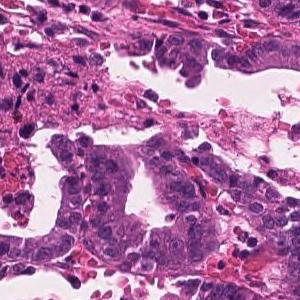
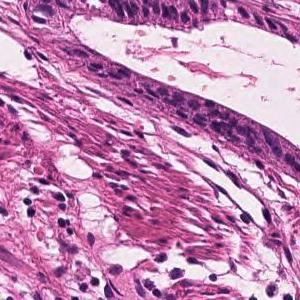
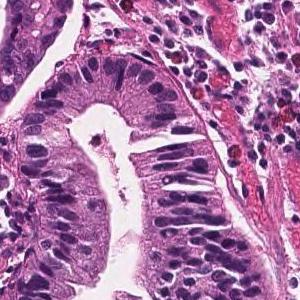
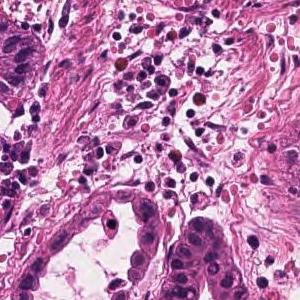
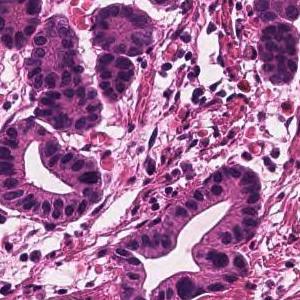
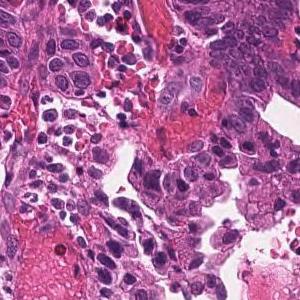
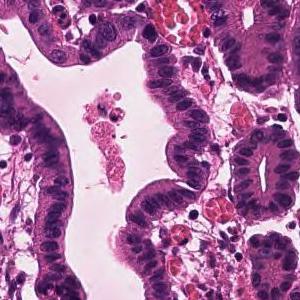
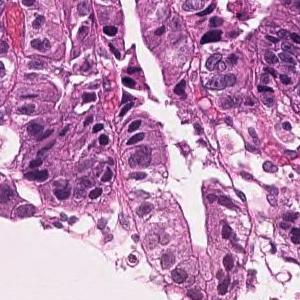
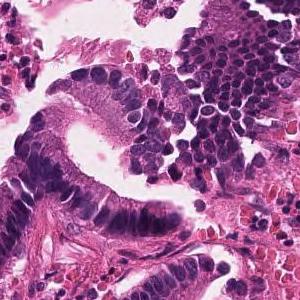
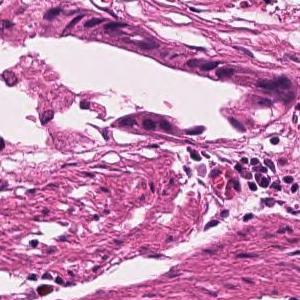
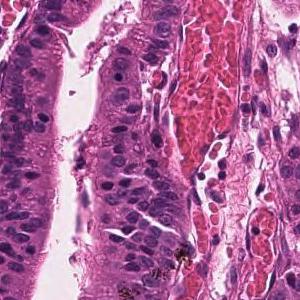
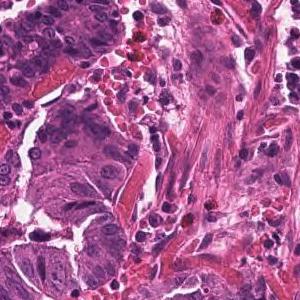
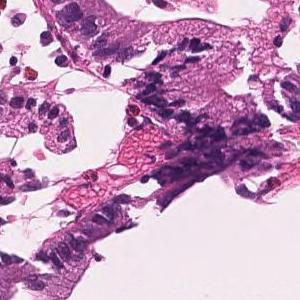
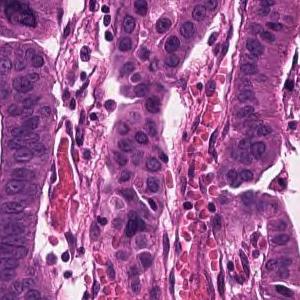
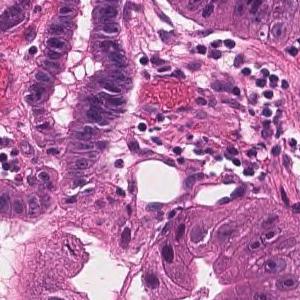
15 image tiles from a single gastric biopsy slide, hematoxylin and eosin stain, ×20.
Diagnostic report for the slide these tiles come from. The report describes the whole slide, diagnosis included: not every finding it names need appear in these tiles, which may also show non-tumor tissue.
Infiltrating tumor tissue with medium-sized, irregular ductal structure or large papillary appearance is observed. Well differentiated tubular adenocarcinoma
